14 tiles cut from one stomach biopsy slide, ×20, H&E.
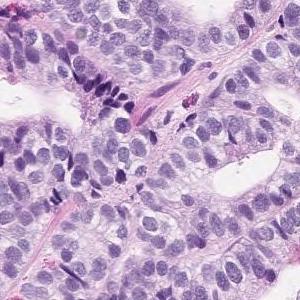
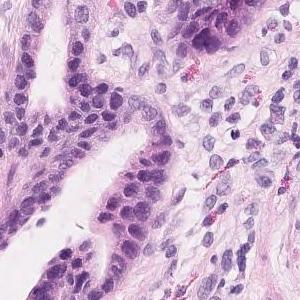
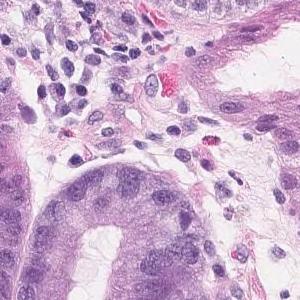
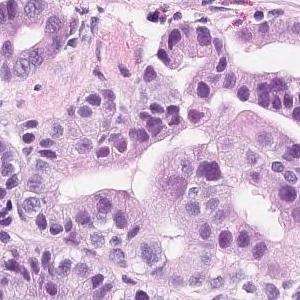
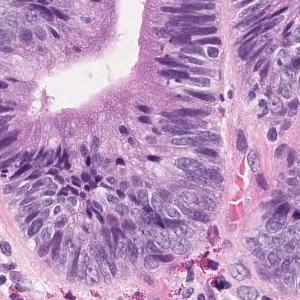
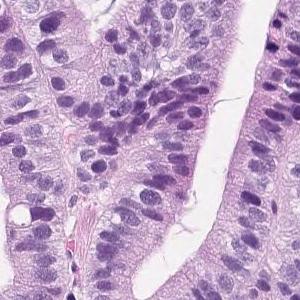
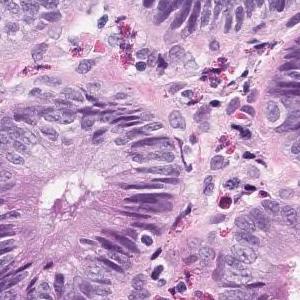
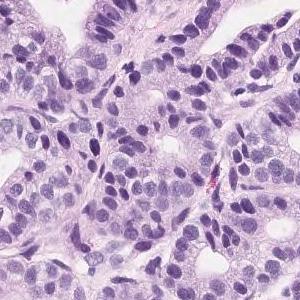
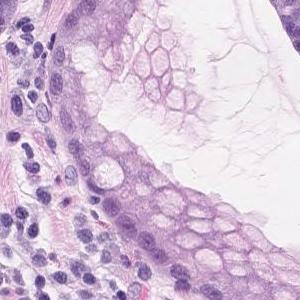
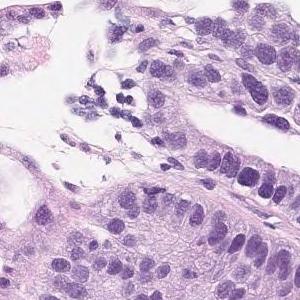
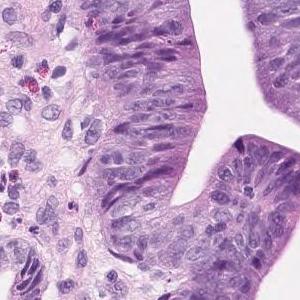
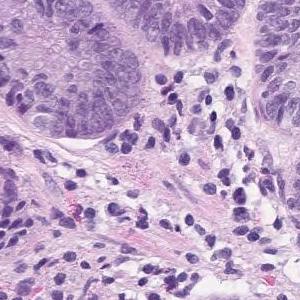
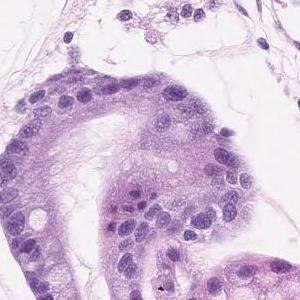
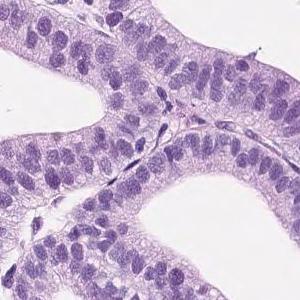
Pathology report for the biopsy slide these tiles were cut from. The report and the diagnosis describe the slide as a whole, so these tiles may not show every feature named and may include non-tumor tissue.
Short atypical epithelium with swelling of the nucleus shows proliferating, large and small irregular ductal structures. Well to moderately differentiated tubular adenocarcinoma (well differentiated tubular adenocarcinoma-moderately differentiated tubular adenocarcinoma)
Histological subtype: Well to moderately differentiated tubular adenocarcinoma.
